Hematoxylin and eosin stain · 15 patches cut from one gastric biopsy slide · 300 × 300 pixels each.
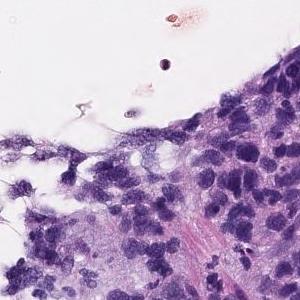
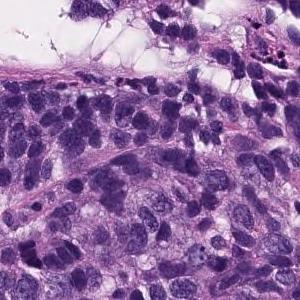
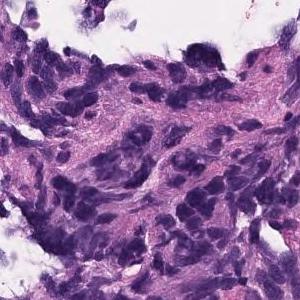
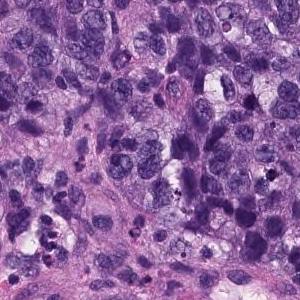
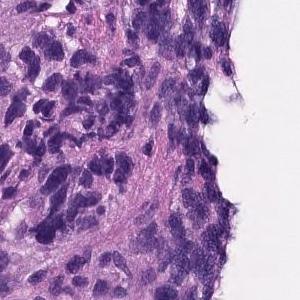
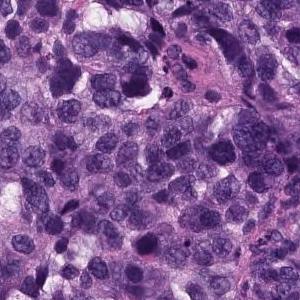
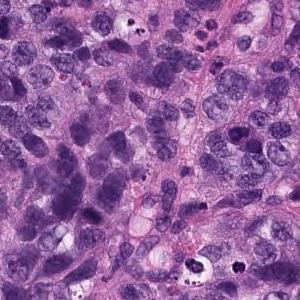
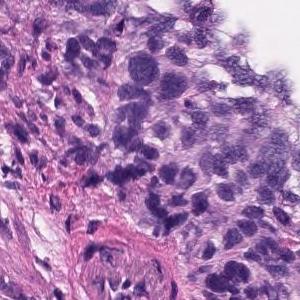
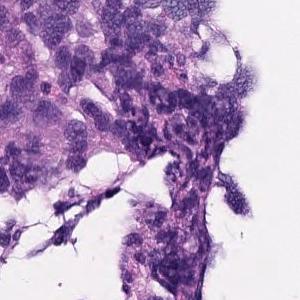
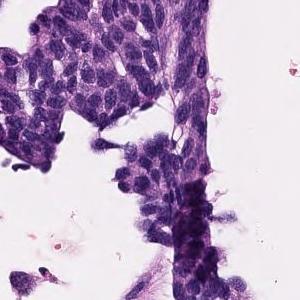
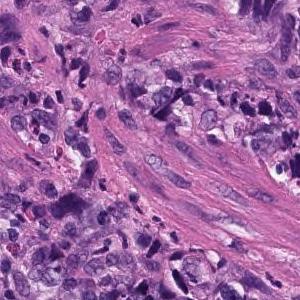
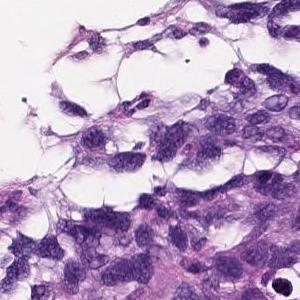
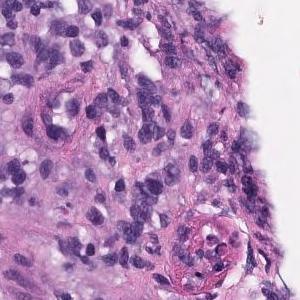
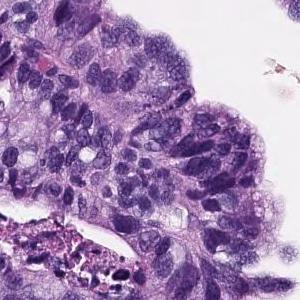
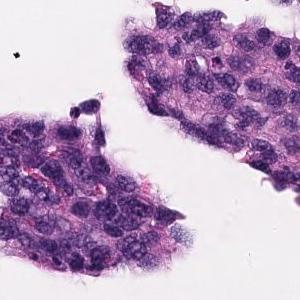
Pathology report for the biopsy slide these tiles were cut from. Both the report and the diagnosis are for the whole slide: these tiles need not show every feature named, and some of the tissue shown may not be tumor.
Atypical l cells with atypical nuclei under the mucosa growing in isolation and scattered. Poorly differentiated adenocarcinoma (poorly differentiated adenocarcinoma, non-solid type)
Histologic type: Poorly differentiated adenocarcinoma, non-solid type.
"Non-solid type" is a category of the Japanese Classification of Gastric Carcinoma.
